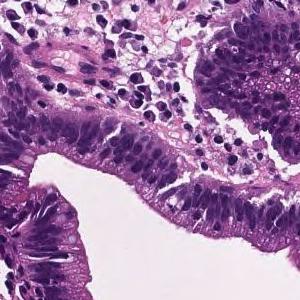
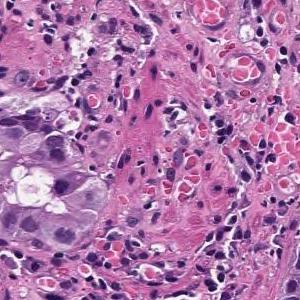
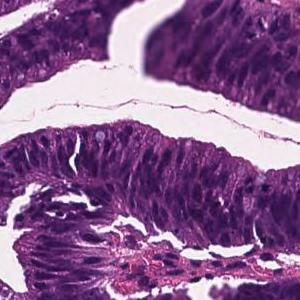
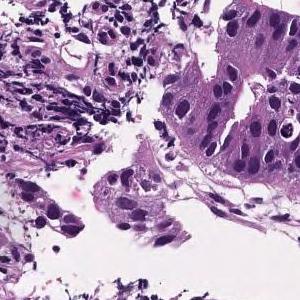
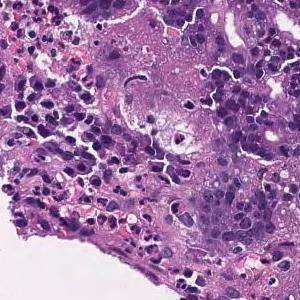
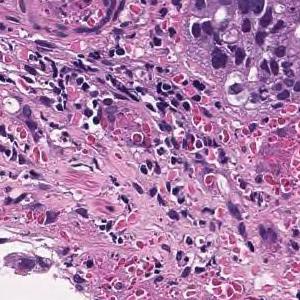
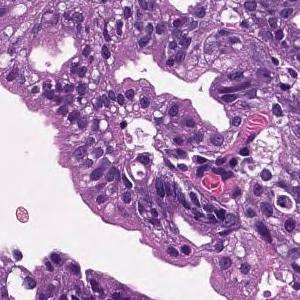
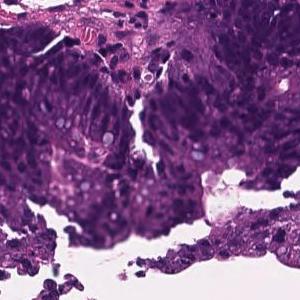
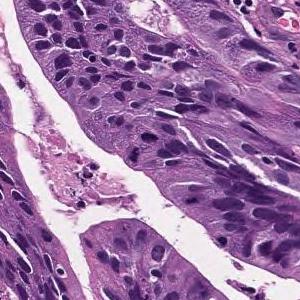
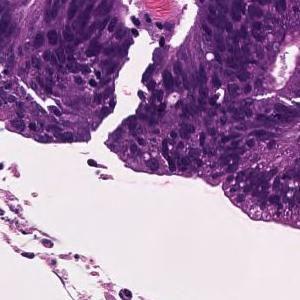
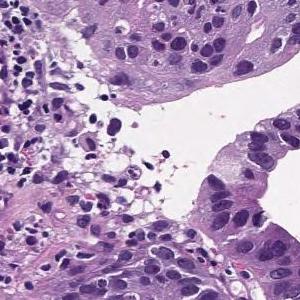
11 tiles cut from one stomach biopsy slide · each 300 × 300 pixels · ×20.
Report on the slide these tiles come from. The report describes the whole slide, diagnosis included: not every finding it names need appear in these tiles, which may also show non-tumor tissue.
Tumor cells are large, highly columnar, large club-shaped nuclei, and are associated with chromatin aggregation. Papillary adenocarcinoma.
